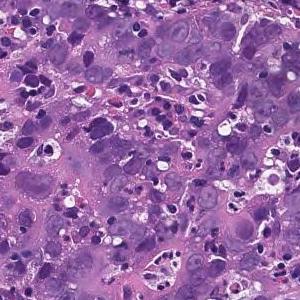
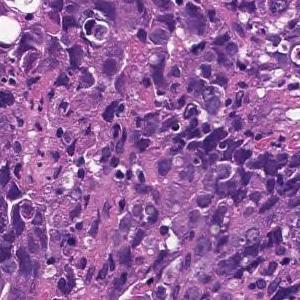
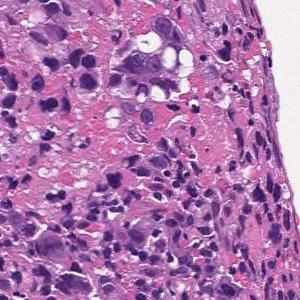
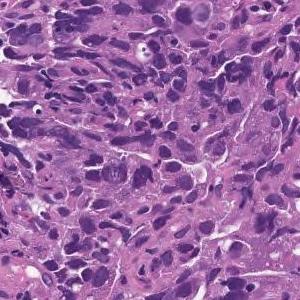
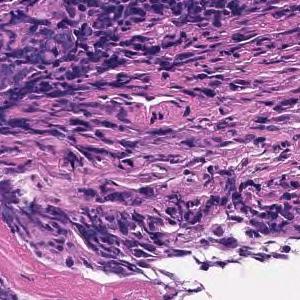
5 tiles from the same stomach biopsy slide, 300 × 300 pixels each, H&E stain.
The pathologist's report on the biopsy slide these tiles were taken from. The report describes the whole slide, diagnosis included: not every finding it names need appear in these tiles, which may also show non-tumor tissue.
Tumor tissue consisting of cord-like or small, irregular glandular ducts fused and infiltrated is observed in the superficial epithelium. Poorly differentiated adenocarcinoma, non-solid type
"Non-solid type" is a category of the Japanese Classification of Gastric Carcinoma.
